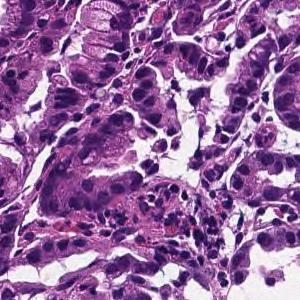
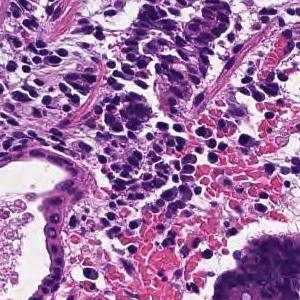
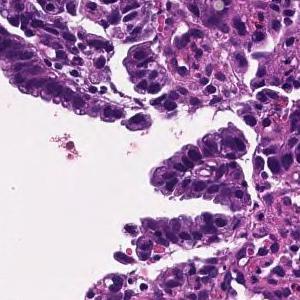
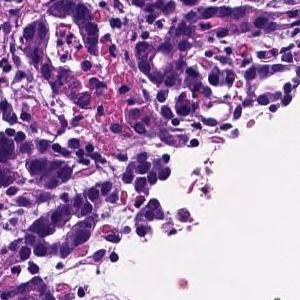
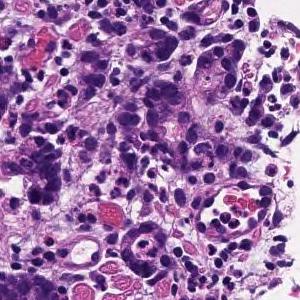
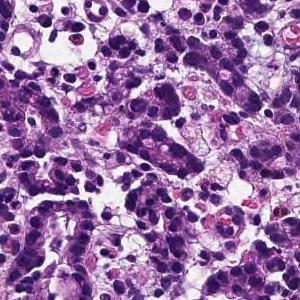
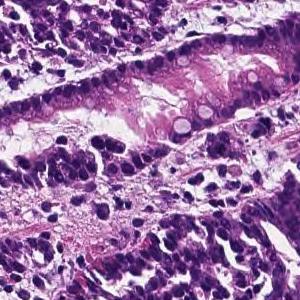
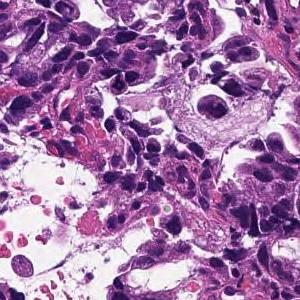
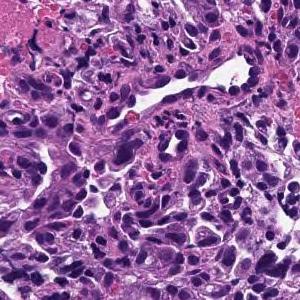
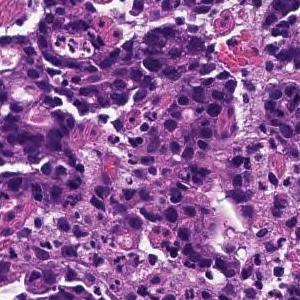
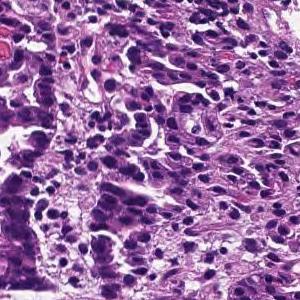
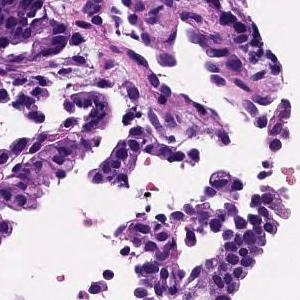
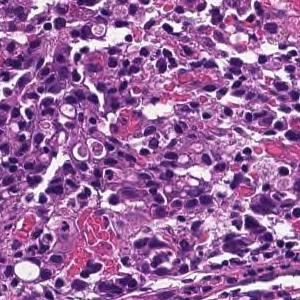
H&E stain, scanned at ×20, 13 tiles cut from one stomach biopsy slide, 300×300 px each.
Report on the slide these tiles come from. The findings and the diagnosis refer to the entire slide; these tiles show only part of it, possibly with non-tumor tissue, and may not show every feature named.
In the superficial epithelium, tumor tissue that invades by forming medium-sized to small, irregular ducts is observed. moderately differentiated tubular adenocarcinoma.
